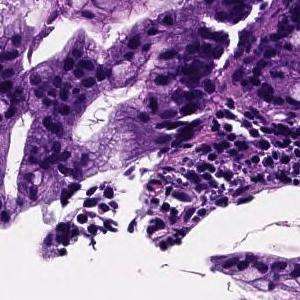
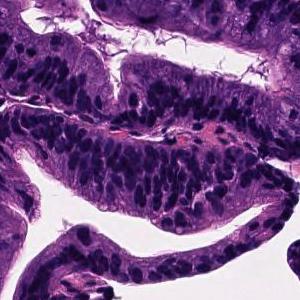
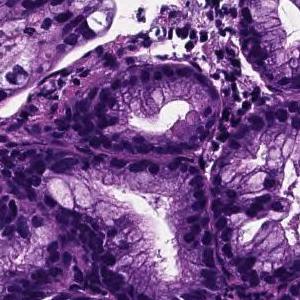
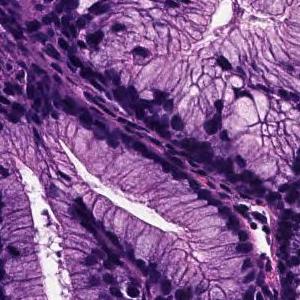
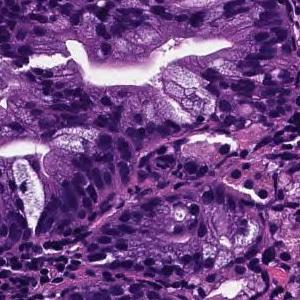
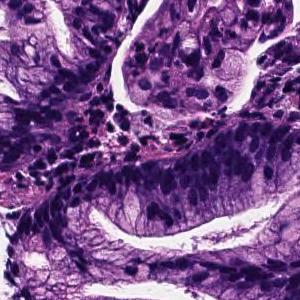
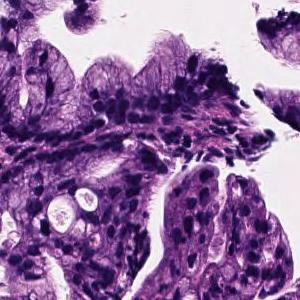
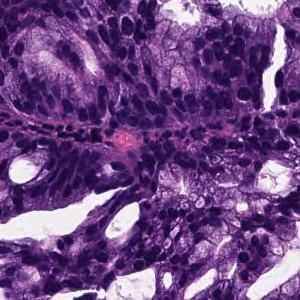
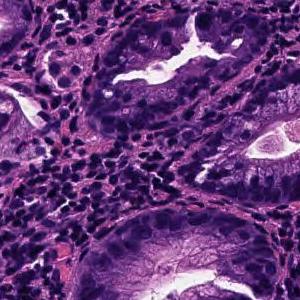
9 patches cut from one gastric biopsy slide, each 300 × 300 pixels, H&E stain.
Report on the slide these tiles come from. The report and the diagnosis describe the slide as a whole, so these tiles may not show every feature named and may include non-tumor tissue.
On the superficial epithelium, tumor tissue that infiltrates by forming medium-sized papillary or small irregular ducts is observed. Papillary adenocarcinoma
